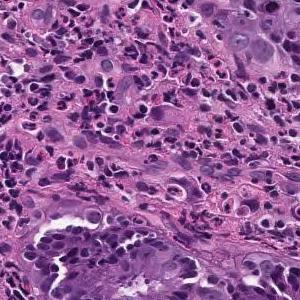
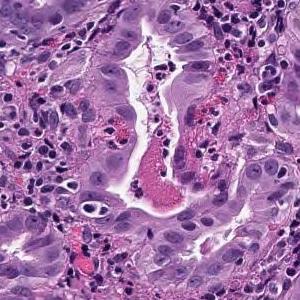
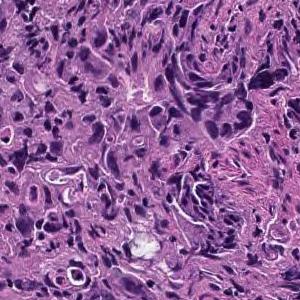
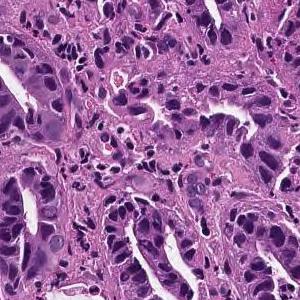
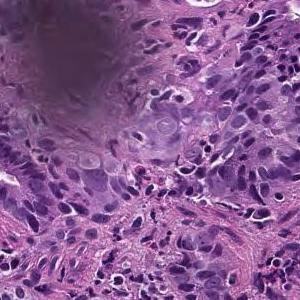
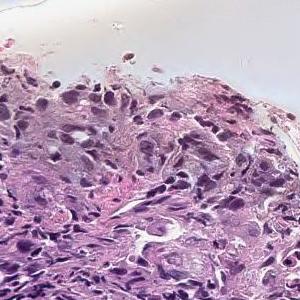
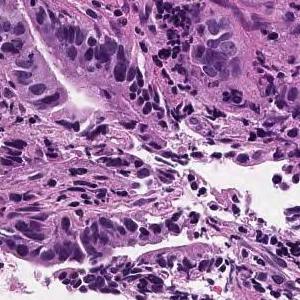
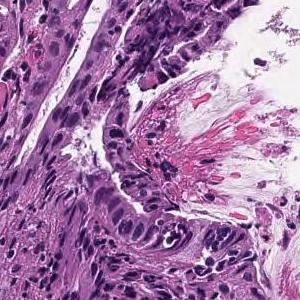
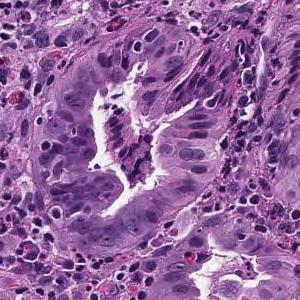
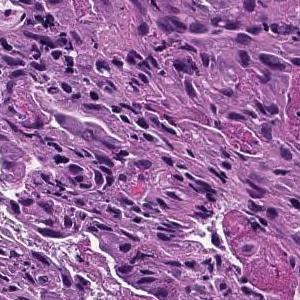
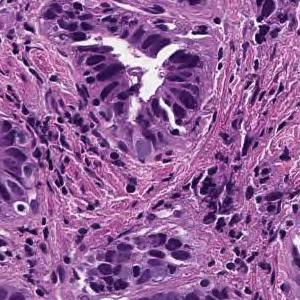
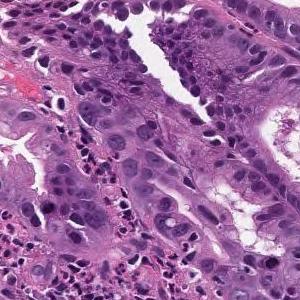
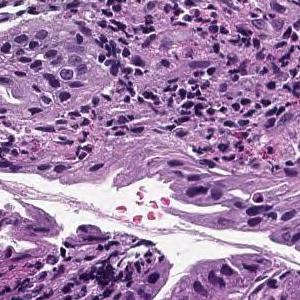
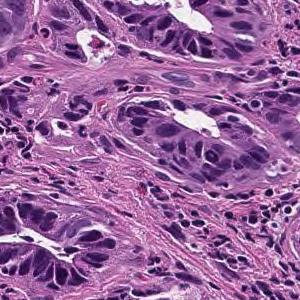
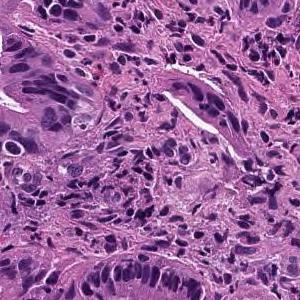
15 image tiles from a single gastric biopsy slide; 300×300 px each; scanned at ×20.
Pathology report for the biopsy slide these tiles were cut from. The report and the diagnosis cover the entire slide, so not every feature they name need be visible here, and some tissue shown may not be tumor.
On the superficial epithelium, tumor tissue consisting of large, irregular glandular ducts partially fused and infiltrated is observed. Well to moderately differentiated tubular adenocarcinoma (well differentiated tubular adenocarcinoma, moderately differentiated tubular adenocarcinoma)
Histological subtype: Well to moderately differentiated tubular adenocarcinoma.
